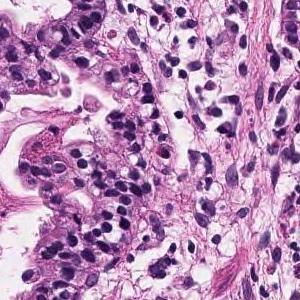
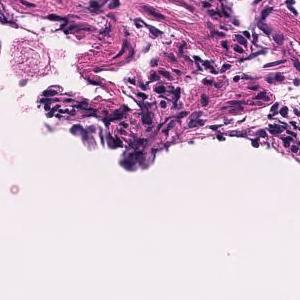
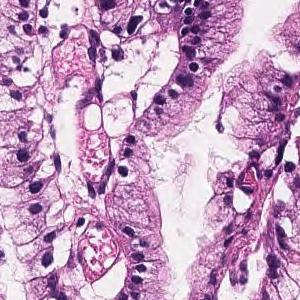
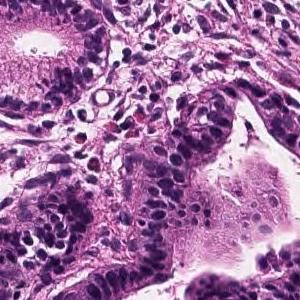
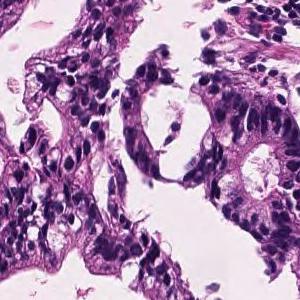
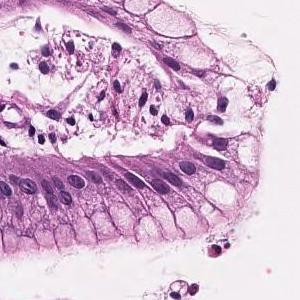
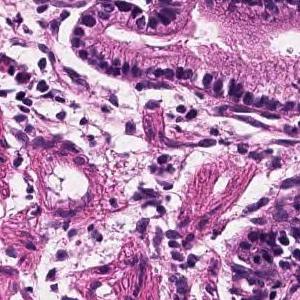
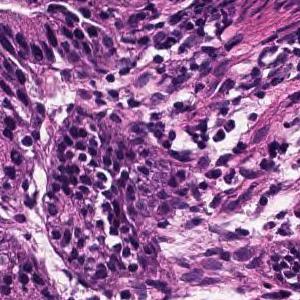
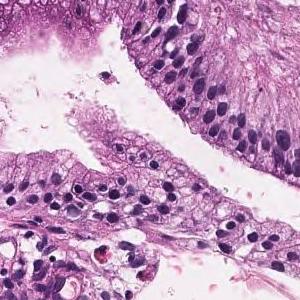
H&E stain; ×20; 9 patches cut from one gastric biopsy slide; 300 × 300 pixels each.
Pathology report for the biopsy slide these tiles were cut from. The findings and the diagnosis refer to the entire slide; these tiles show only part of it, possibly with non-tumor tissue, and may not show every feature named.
Tumor tissue consisting of large papillary structures or irregular glandular ducts partially fused and infiltrated is observed in the superficial epithelium. Well to moderately differentiated tubular adenocarcinoma.
Labeled in the dataset as moderately differentiated tubular adenocarcinoma.
